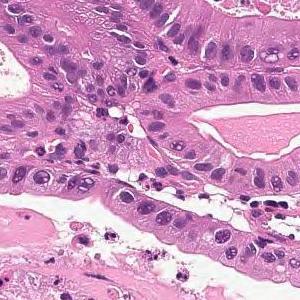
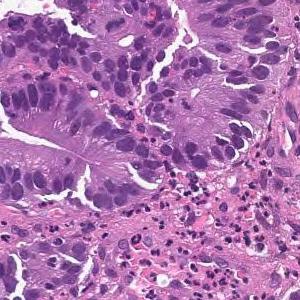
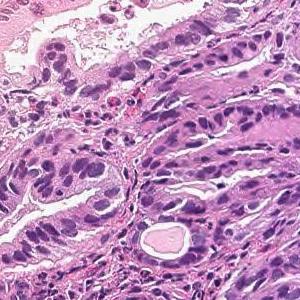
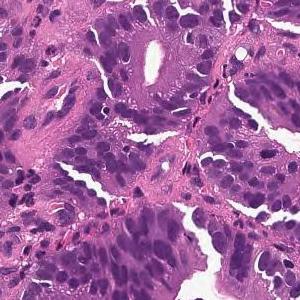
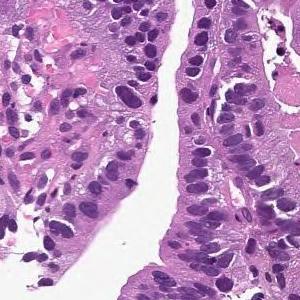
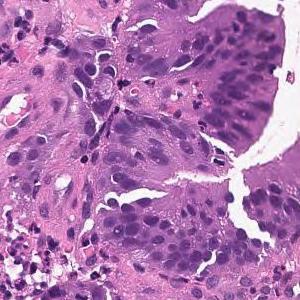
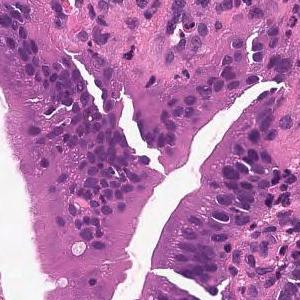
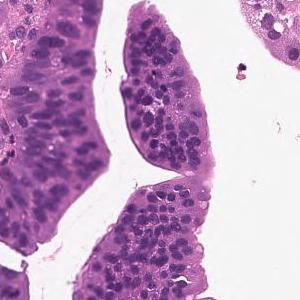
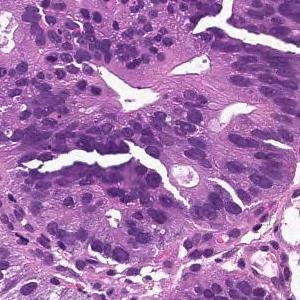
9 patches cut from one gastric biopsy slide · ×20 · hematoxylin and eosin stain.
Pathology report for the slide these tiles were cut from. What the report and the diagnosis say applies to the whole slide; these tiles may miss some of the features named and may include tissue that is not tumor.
From the superficial epithelium to the muscularis mucosae, tumor tissue consisting of medium-sized and irregular glandular ducts infiltrating is observed. Well differentiated tubular adenocarcinoma
